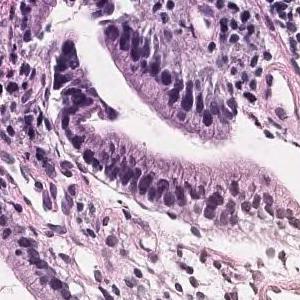
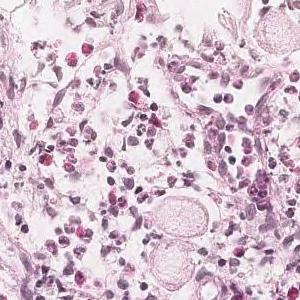
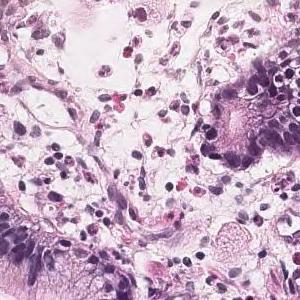
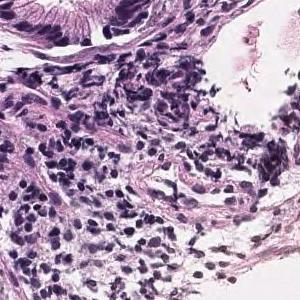
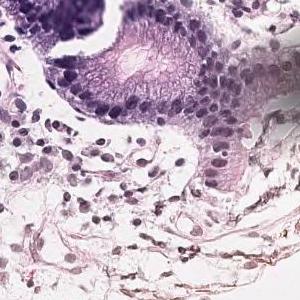
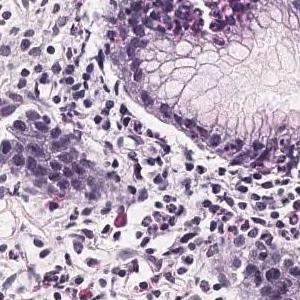
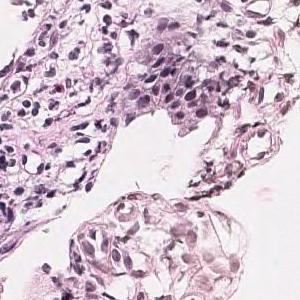
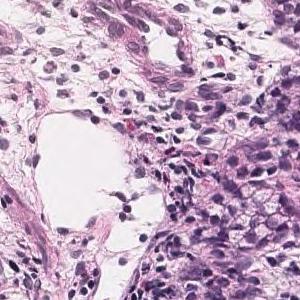
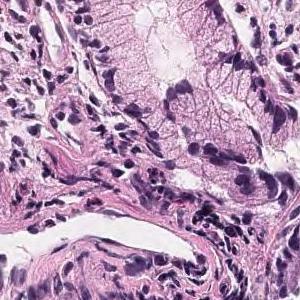
20× magnification · hematoxylin and eosin stain · 9 tiles cut from one stomach biopsy slide.
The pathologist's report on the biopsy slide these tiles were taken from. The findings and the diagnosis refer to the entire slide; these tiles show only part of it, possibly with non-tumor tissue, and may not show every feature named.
Tumor tissue is observed in which atypical epithelial cells with mucus in the vesicles proliferate while being isolated. Signet ring cell carcinoma
